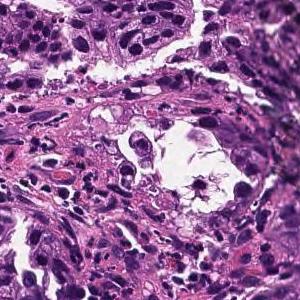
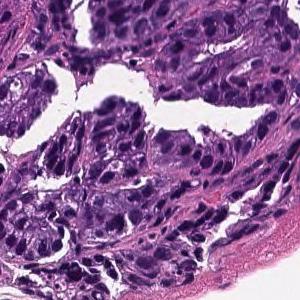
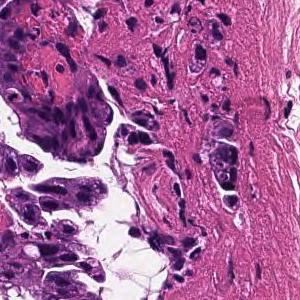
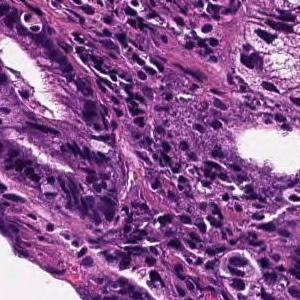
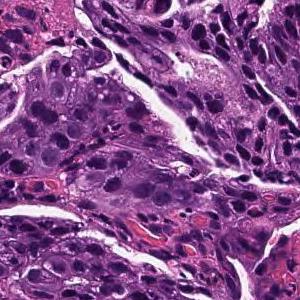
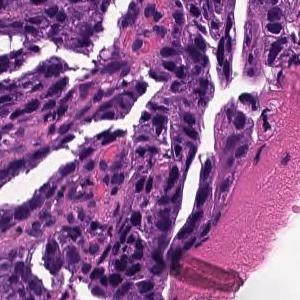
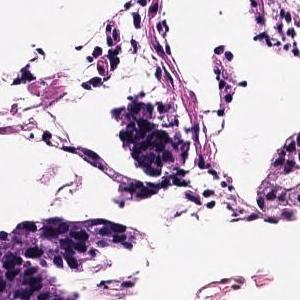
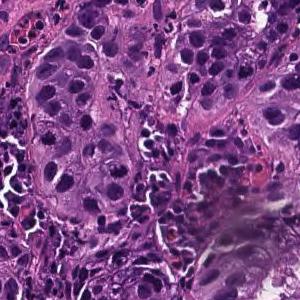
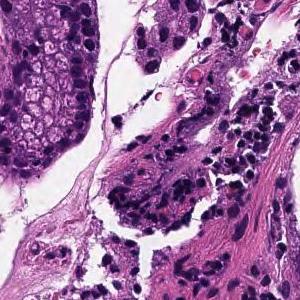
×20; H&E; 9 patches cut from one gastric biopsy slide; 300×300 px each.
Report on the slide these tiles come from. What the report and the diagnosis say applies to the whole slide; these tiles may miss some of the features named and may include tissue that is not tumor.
In the superficial epithelium, tumor tissue that invades by forming medium-sized to small, irregular ducts is observed. moderately differentiated tubular adenocarcinoma.
